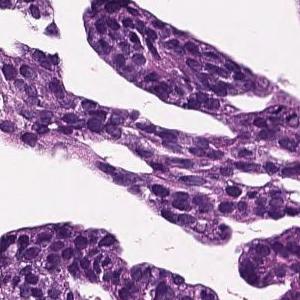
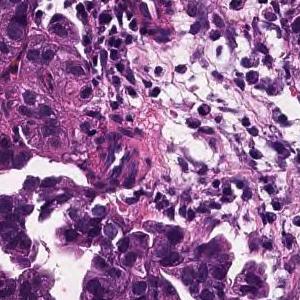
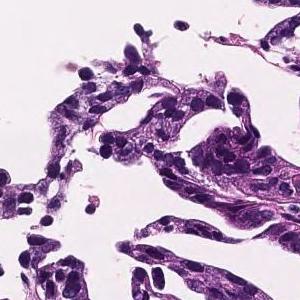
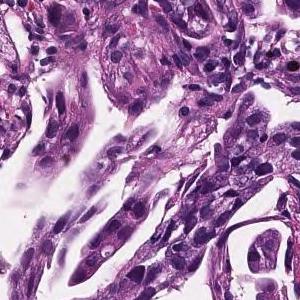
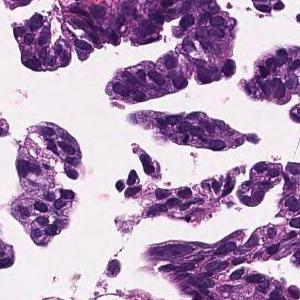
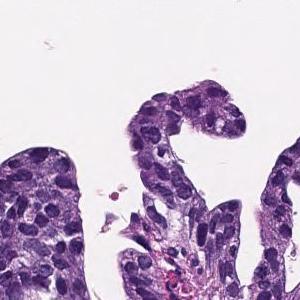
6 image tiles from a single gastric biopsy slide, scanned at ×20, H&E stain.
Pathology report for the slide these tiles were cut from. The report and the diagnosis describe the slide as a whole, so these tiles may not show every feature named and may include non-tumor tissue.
In the lamina propria, tumor tissue that invades by forming medium-sized to small, irregular glandular ducts is observed. moderately differentiated tubular adenocarcinoma
